Hematoxylin and eosin stain; 20× magnification; 15 image tiles from a single gastric biopsy slide.
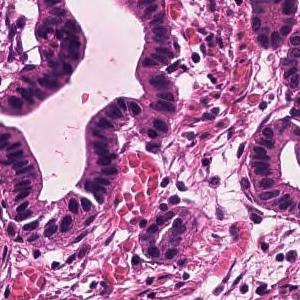
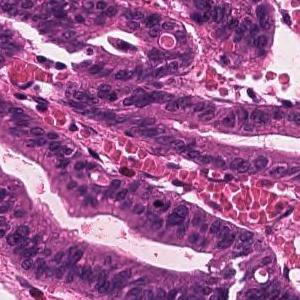
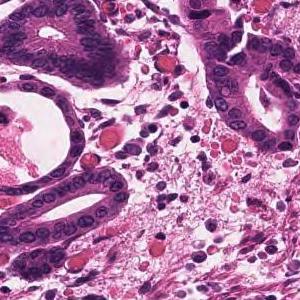
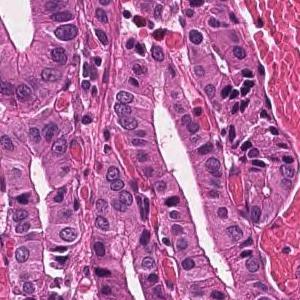
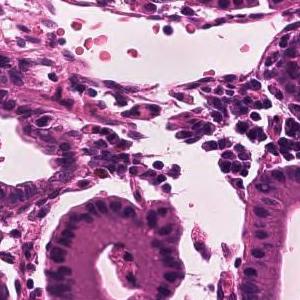
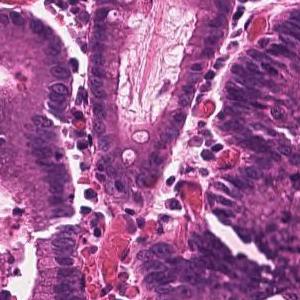
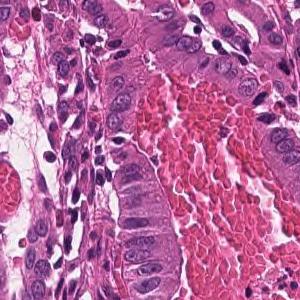
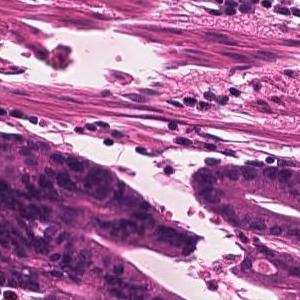
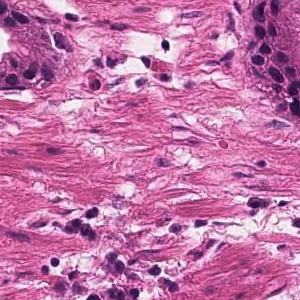
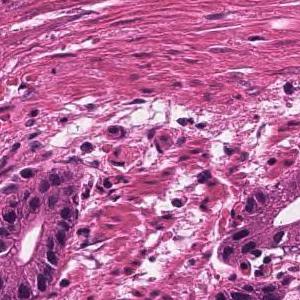
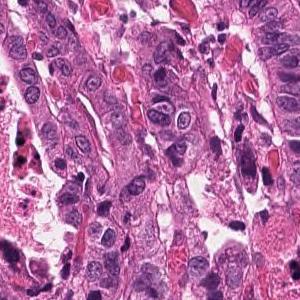
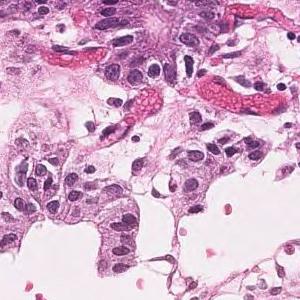
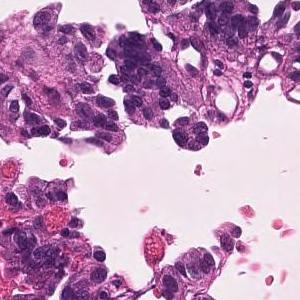
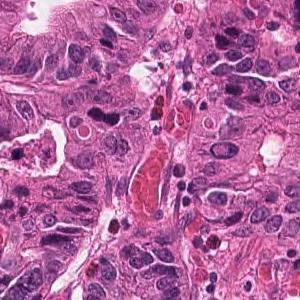
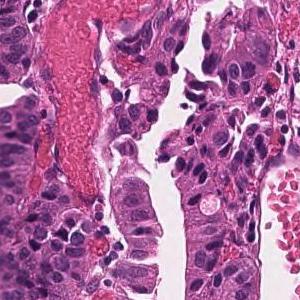
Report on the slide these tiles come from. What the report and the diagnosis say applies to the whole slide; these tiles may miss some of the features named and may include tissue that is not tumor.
Infiltrating tumor tissue with medium-sized, irregular ductal structure or large papillary appearance is observed. Well differentiated tubular adenocarcinoma
